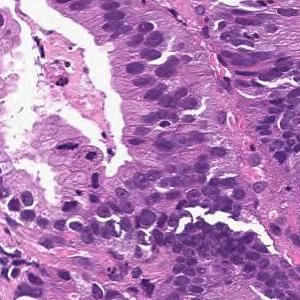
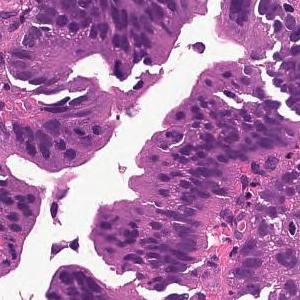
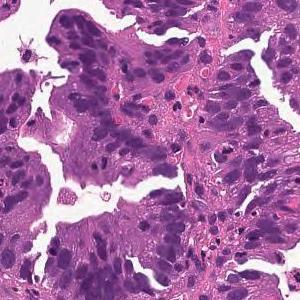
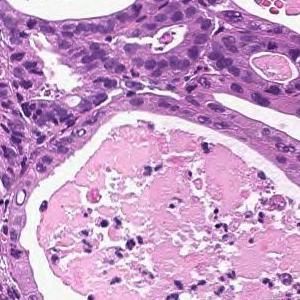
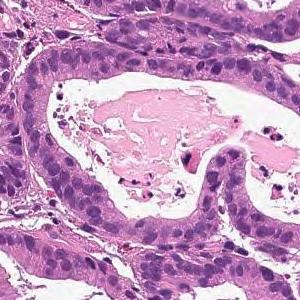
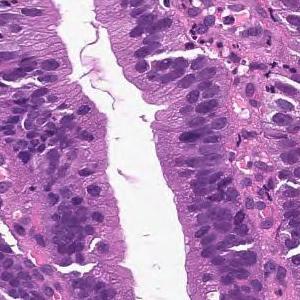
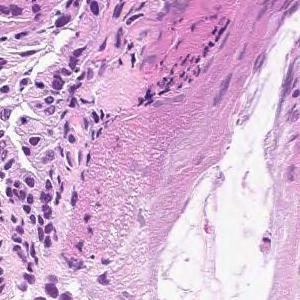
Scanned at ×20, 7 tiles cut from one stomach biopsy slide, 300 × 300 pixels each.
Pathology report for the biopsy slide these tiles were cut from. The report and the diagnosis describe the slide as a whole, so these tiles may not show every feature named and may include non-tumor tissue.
From the superficial epithelium to the muscularis mucosae, tumor tissue consisting of medium-sized and irregular glandular ducts infiltrating is observed. Well differentiated tubular adenocarcinoma
